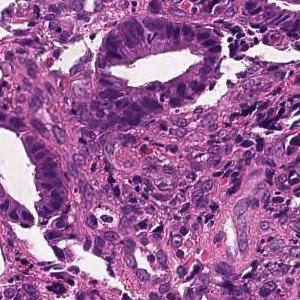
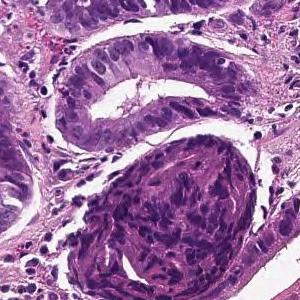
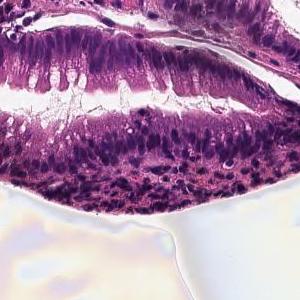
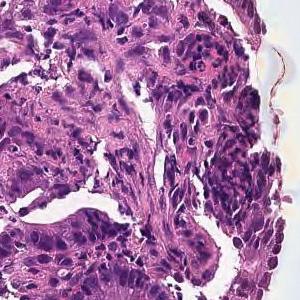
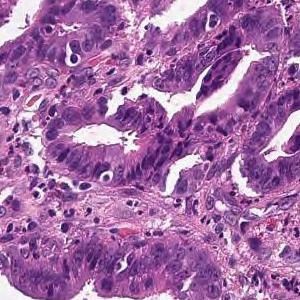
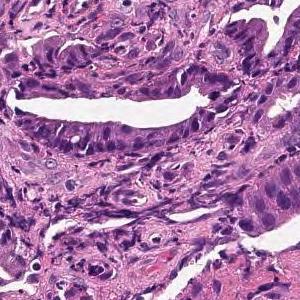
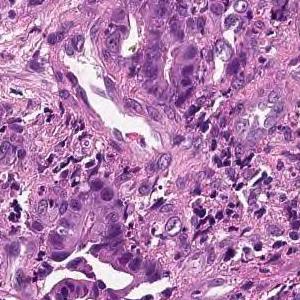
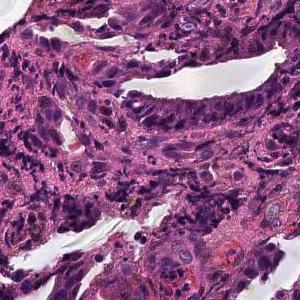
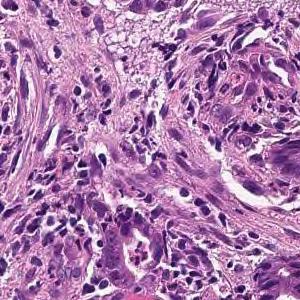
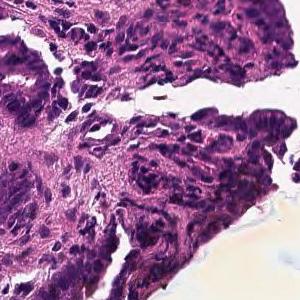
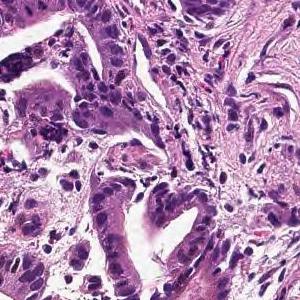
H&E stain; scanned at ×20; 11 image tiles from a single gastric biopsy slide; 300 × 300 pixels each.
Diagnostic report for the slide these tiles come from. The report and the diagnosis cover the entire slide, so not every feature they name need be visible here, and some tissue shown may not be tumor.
From the superficial epithelium to the muscularis mucosae, tumor tissue consisting of medium-sized and irregular glandular ducts infiltrating is observed. Well differentiated tubular adenocarcinoma
